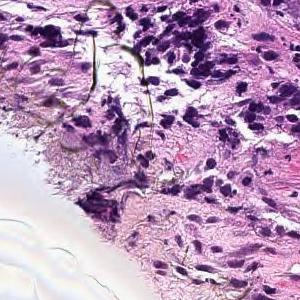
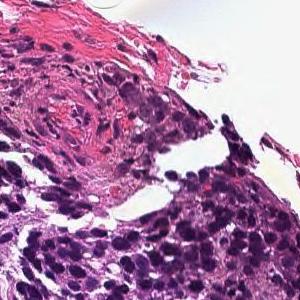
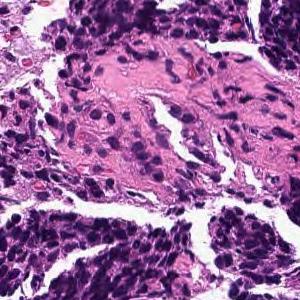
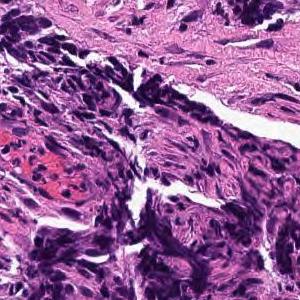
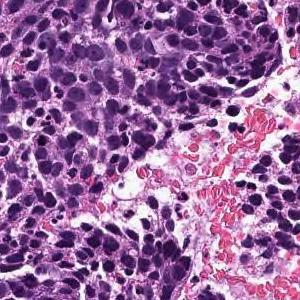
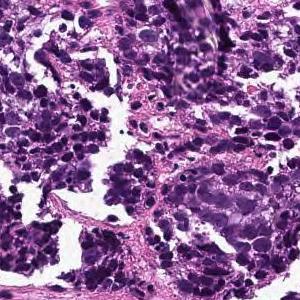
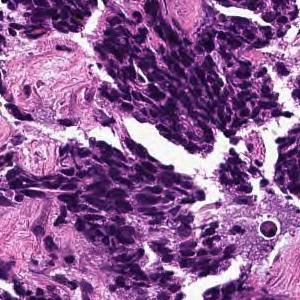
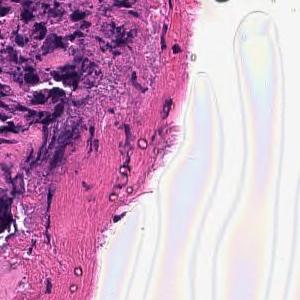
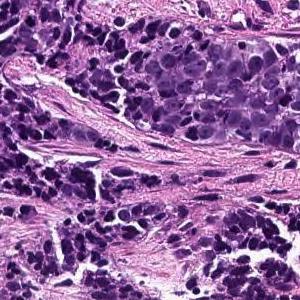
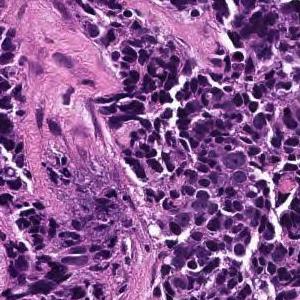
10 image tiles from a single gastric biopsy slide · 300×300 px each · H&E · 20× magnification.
Diagnostic report for the slide these tiles come from. The report describes the whole slide, diagnosis included: not every finding it names need appear in these tiles, which may also show non-tumor tissue.
The superficial epithelium shows a large sheet or alveolar shape, and tumor tissue infiltrating without irregular ducts is observed. Poorly differentiated adenocarcinoma, solid-type
Histologic type: Poorly differentiated adenocarcinoma, solid type, a category of the Japanese Classification of Gastric Carcinoma; in the WHO 2019 classification it is tubular adenocarcinoma, poorly differentiated.
